13 patches cut from one gastric biopsy slide; 300×300 px each; ×20; H&E.
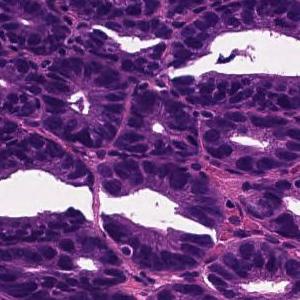
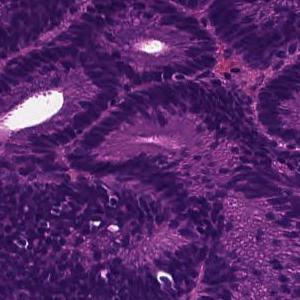
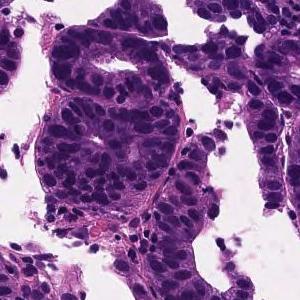
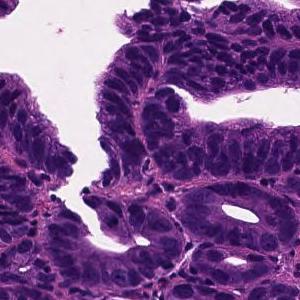
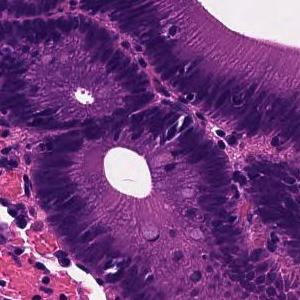
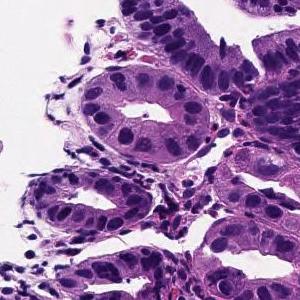
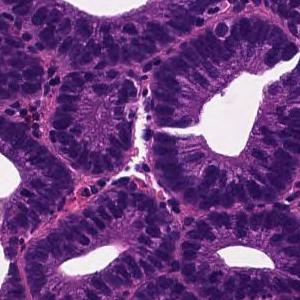
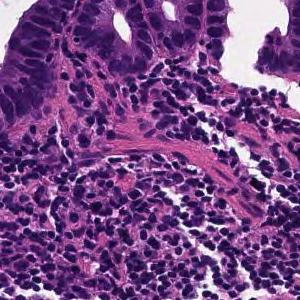
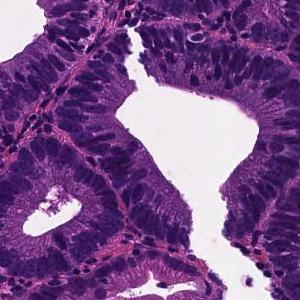
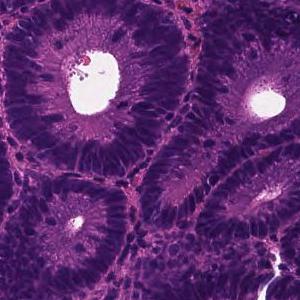
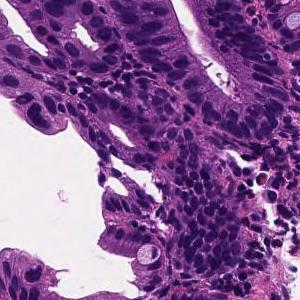
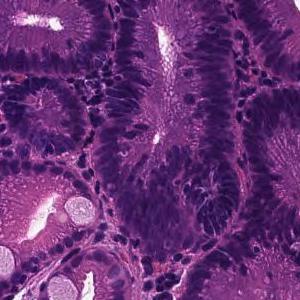
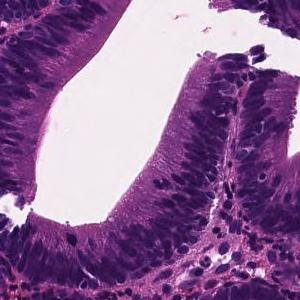
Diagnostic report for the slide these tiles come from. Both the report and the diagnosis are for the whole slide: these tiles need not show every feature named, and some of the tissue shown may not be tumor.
Tumor tissue in which medium to small irregular ducts infiltrate and proliferate in the submucosa can be seen in the epithelium. Well differentiated tubular adenocarcinoma
